×20 · 6 tiles cut from one stomach biopsy slide · 300×300 px each.
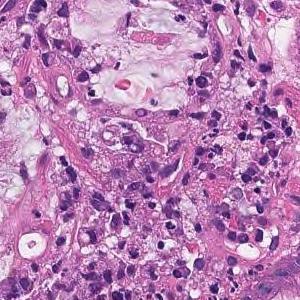
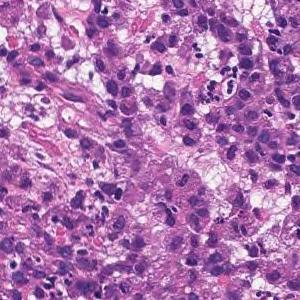
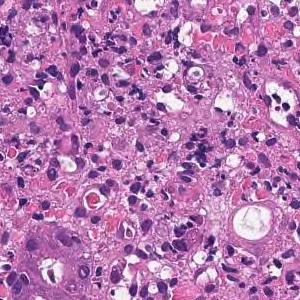
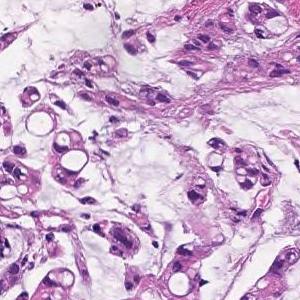
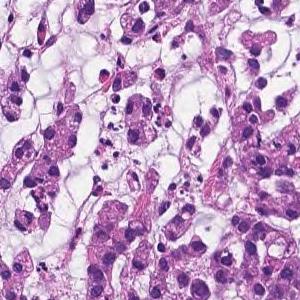
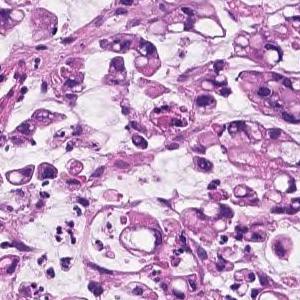
Report on the slide these tiles come from. The report and the diagnosis describe the slide as a whole, so these tiles may not show every feature named and may include non-tumor tissue.
Tumor tissue consisting of cord-like or small, irregular glandular ducts fused and infiltrated is observed in the superficial epithelium. Poorly differentiated adenocarcinoma, non-solid type
The term "non-solid type" comes from the Japanese Classification of Gastric Carcinoma.
